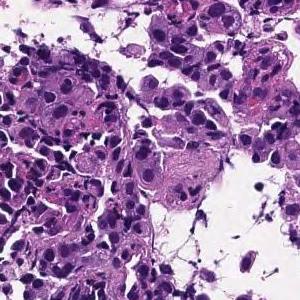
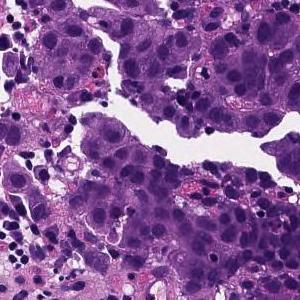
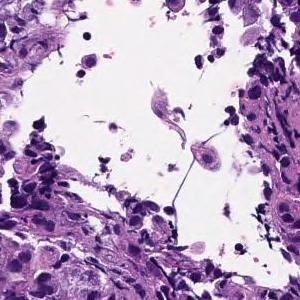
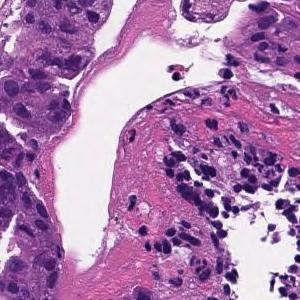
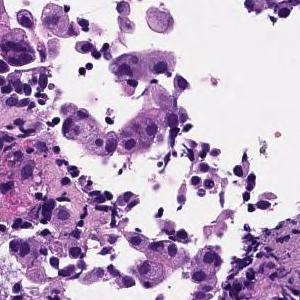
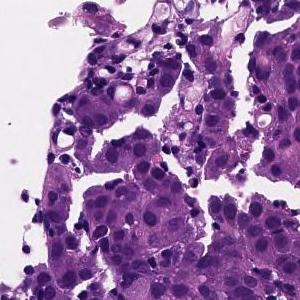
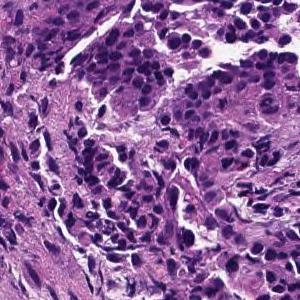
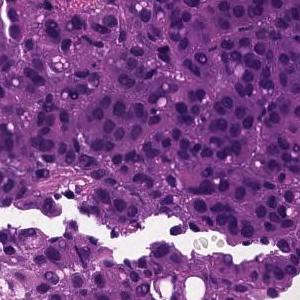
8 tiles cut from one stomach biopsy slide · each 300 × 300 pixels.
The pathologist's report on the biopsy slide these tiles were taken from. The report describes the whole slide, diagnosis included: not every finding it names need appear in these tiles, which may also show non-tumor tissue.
The superficial epithelium shows a large sheet-like shape, and some tumor tissue infiltrates with small irregular ducts. Poorly differentiated adenocarcinoma, solid-type
Subtype: Poorly differentiated adenocarcinoma, solid type (Japanese Classification of Gastric Carcinoma). The WHO 2019 equivalent is tubular adenocarcinoma, poorly differentiated.
